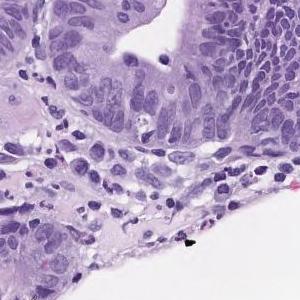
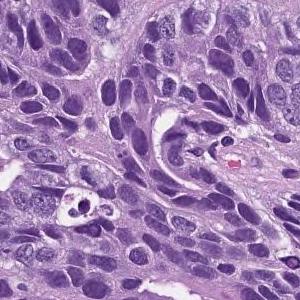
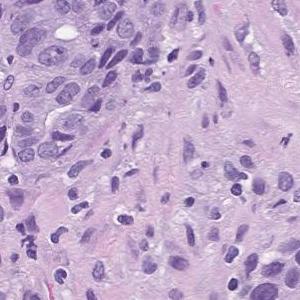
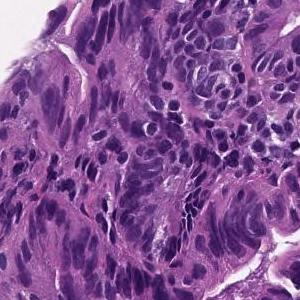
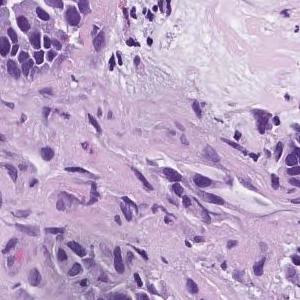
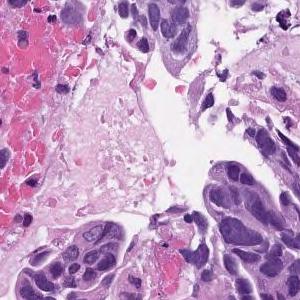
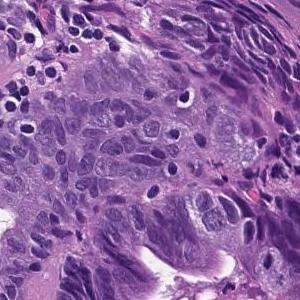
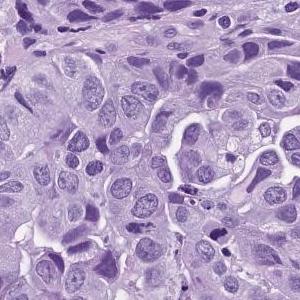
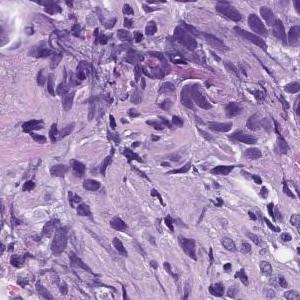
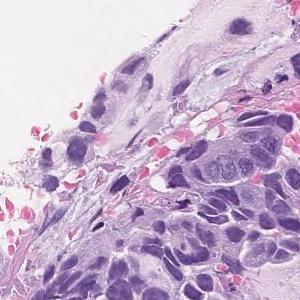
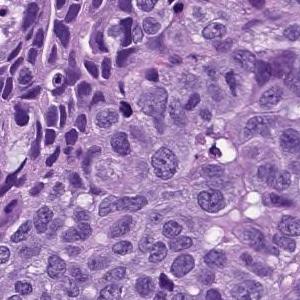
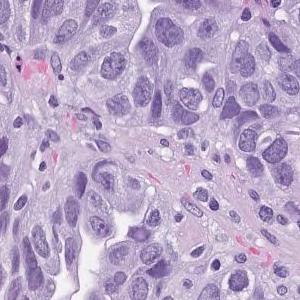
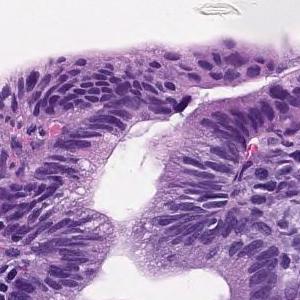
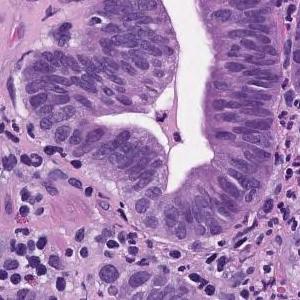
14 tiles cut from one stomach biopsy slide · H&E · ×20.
Diagnostic report for the slide these tiles come from. The findings and the diagnosis refer to the entire slide; these tiles show only part of it, possibly with non-tumor tissue, and may not show every feature named.
In the superficial epithelium, tumor tissue that invades by forming medium-sized to small, irregular ducts is observed. moderately differentiated tubular adenocarcinoma.
